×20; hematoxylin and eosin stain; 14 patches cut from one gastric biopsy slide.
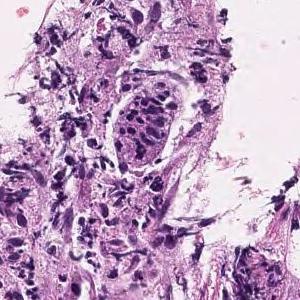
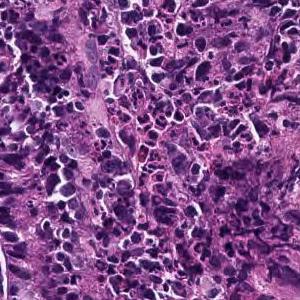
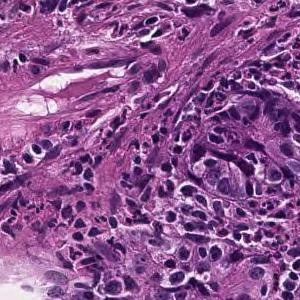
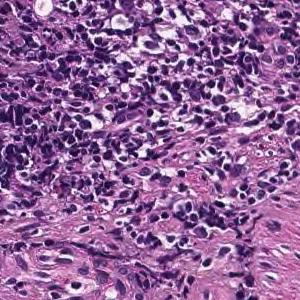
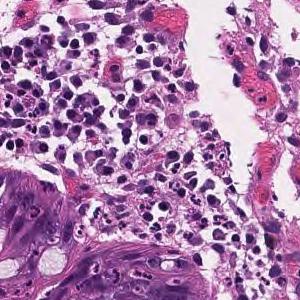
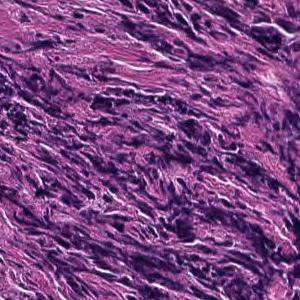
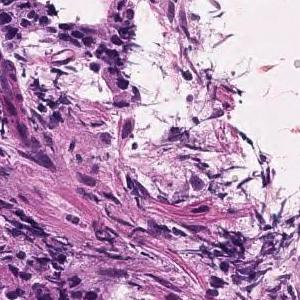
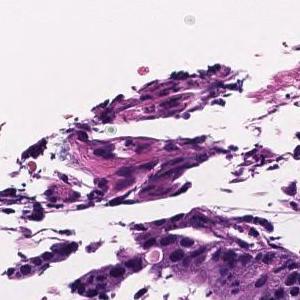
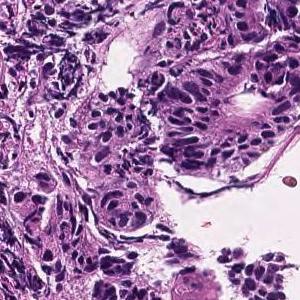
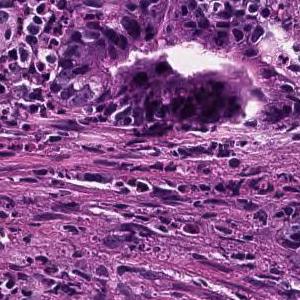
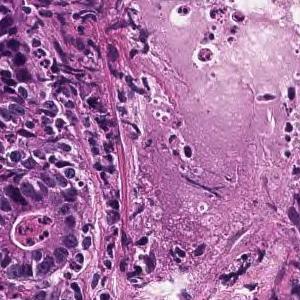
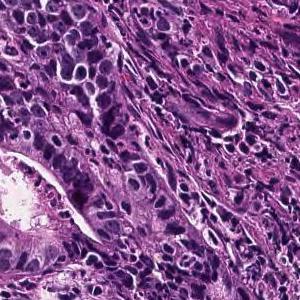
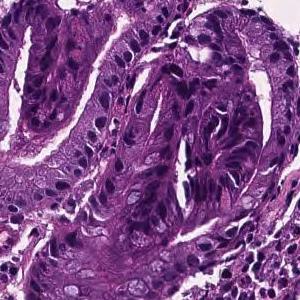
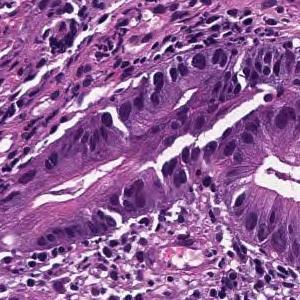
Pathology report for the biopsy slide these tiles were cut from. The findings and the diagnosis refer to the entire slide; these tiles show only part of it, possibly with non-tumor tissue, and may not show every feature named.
On the superficial epithelium, tumor tissue consisting of large, irregular glandular ducts partially fused and infiltrated is observed. Well to moderately differentiated tubular adenocarcinoma (well differentiated tubular adenocarcinoma, moderately differentiated tubular adenocarcinoma)
Tumor subtype: well to moderately differentiated tubular adenocarcinoma.
